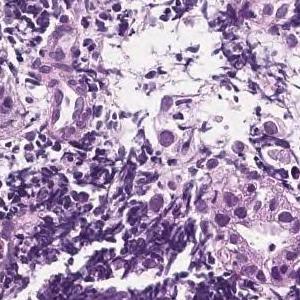
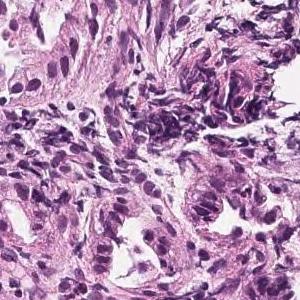
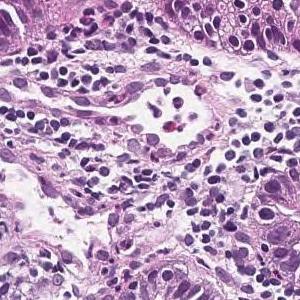
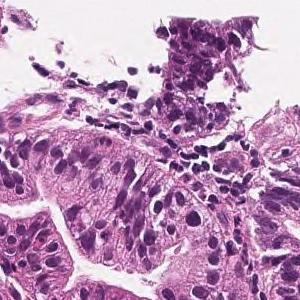
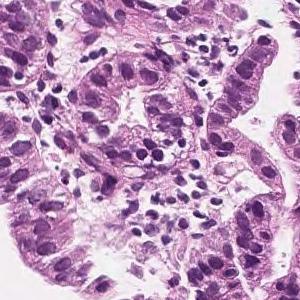
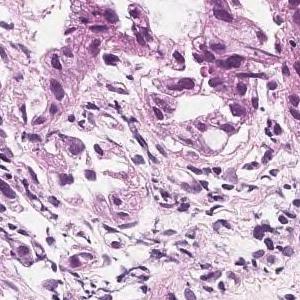
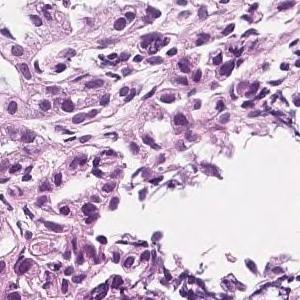
7 image tiles from a single gastric biopsy slide · H&E.
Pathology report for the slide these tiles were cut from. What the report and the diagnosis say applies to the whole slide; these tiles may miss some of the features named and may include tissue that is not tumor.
In the superficial epithelium, tumor tissue that invades by forming medium-sized to small, irregular ducts is observed. moderately differentiated tubular adenocarcinoma.
